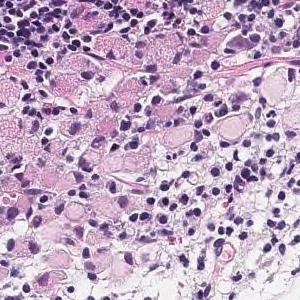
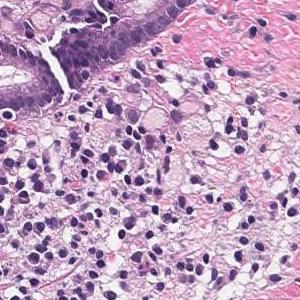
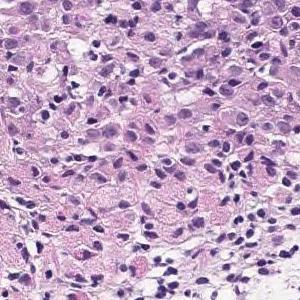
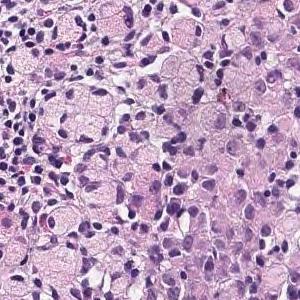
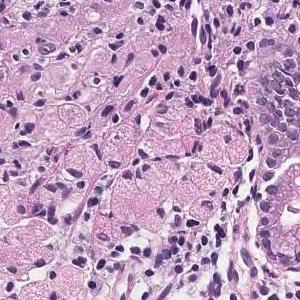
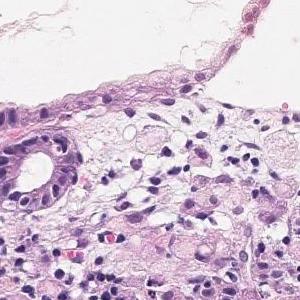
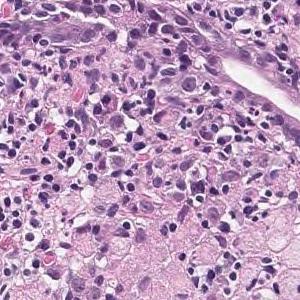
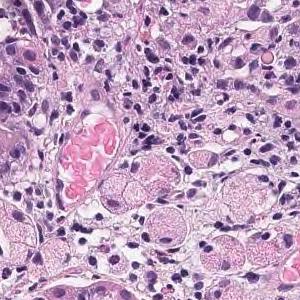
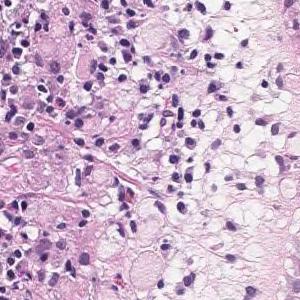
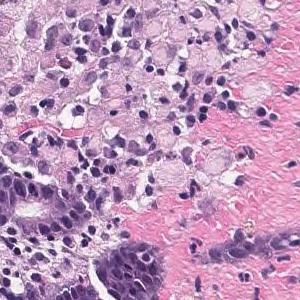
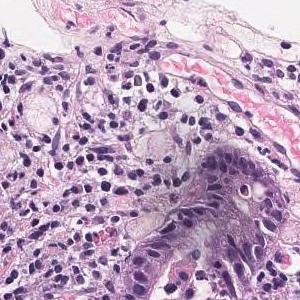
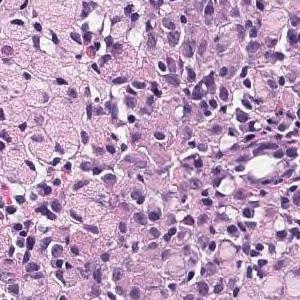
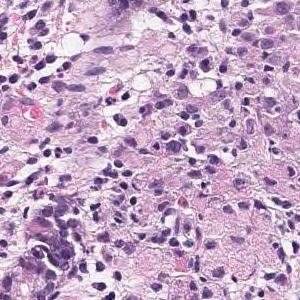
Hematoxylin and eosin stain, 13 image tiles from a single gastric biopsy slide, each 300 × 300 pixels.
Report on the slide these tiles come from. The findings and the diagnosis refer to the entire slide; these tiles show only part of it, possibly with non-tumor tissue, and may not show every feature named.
Atypical epithelium with the mucus rich vesicles proliferates solidly. Signet ring cell carcinoma.
